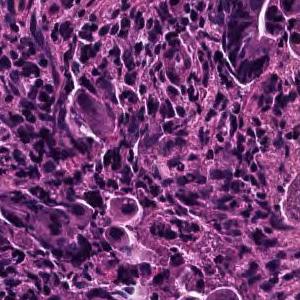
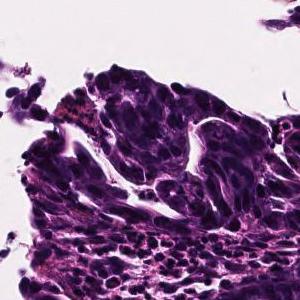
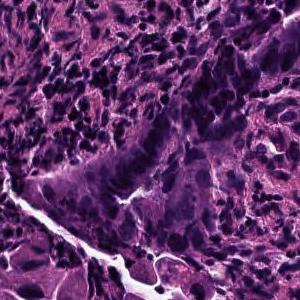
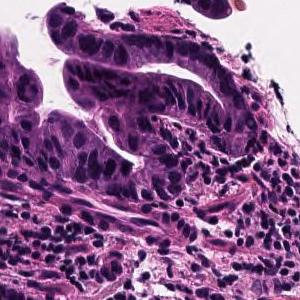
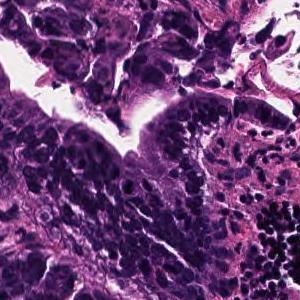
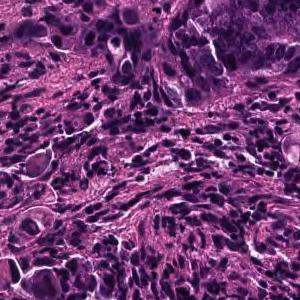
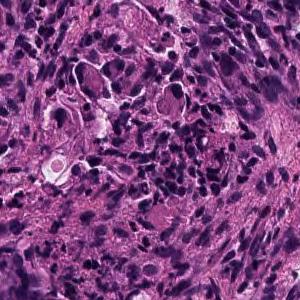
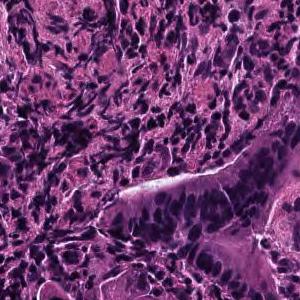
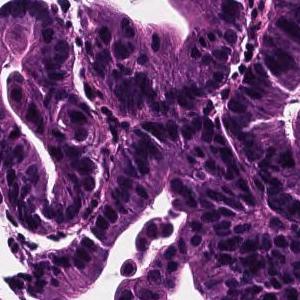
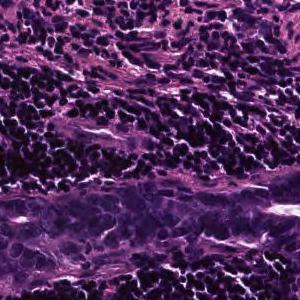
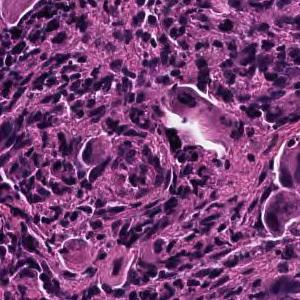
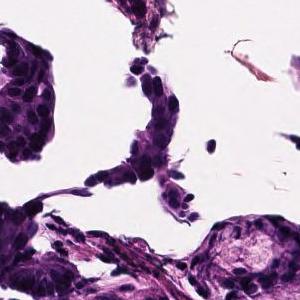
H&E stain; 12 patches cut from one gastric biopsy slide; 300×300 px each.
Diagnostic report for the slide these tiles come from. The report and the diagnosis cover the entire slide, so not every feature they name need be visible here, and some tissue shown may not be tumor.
On the superficial epithelium, tumor tissue consisting of large, irregular glandular ducts partially fused and infiltrated is observed. Well to moderately differentiated tubular adenocarcinoma (well differentiated tubular adenocarcinoma, moderately differentiated tubular adenocarcinoma)
Tumor subtype: well to moderately differentiated tubular adenocarcinoma.
